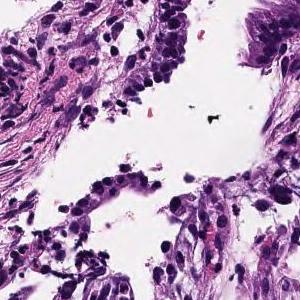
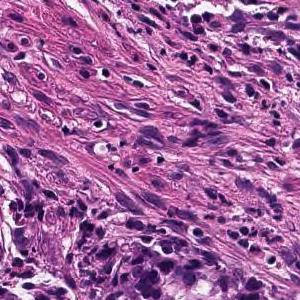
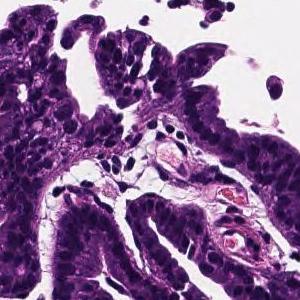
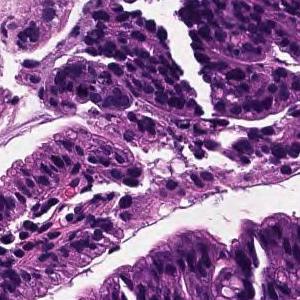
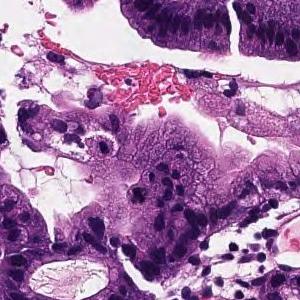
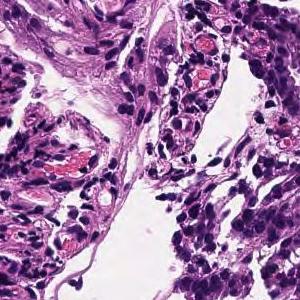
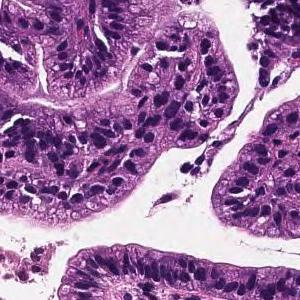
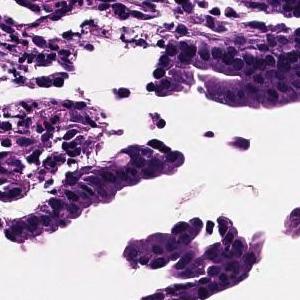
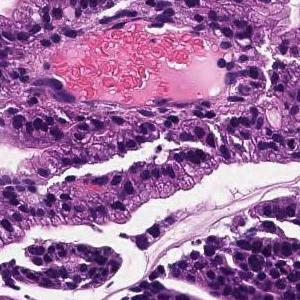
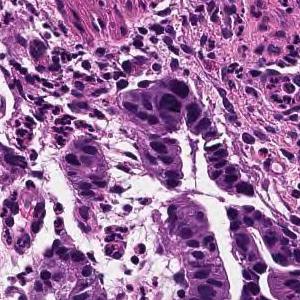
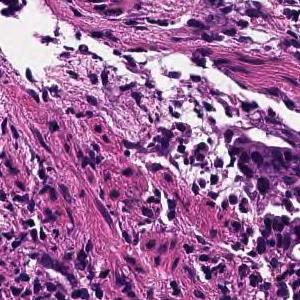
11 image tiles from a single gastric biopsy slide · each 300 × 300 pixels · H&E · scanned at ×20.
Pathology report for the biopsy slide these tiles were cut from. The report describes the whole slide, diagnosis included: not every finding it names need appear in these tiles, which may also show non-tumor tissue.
On the superficial epithelium, tumor tissue that infiltrates by forming medium-sized papillary or small irregular ducts is observed. Papillary adenocarcinoma
